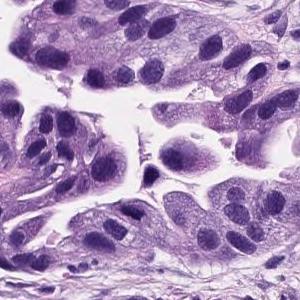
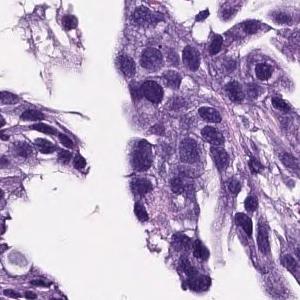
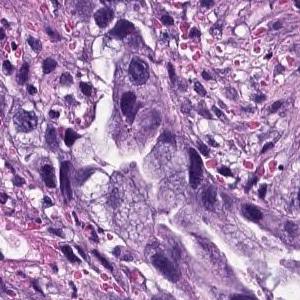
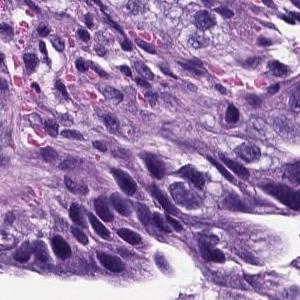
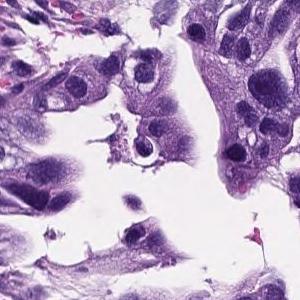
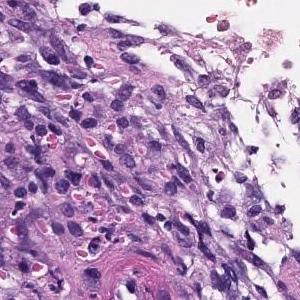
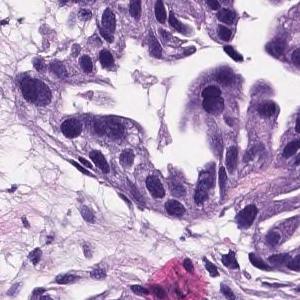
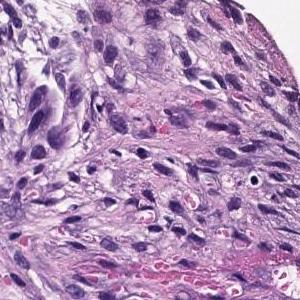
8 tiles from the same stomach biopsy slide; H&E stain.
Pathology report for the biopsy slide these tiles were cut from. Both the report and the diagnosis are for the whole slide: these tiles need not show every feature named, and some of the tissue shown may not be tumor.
gastric mucosal tissue with atypical glandular proliferation arranged in tubules and acini. The tumor cells showed hyperchromatic nuclei, high N/C ratio and loss of polarity. Tubular adenocarcinoma of stomach, moderately differentiated.
Subtype: Moderately differentiated tubular adenocarcinoma.
